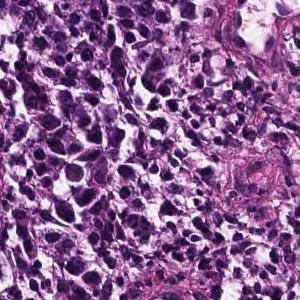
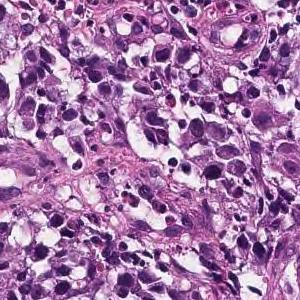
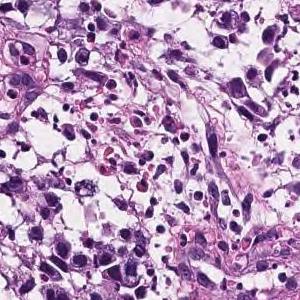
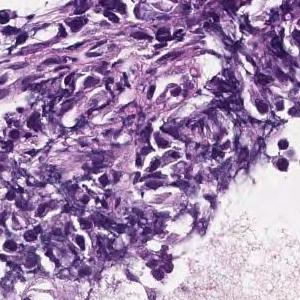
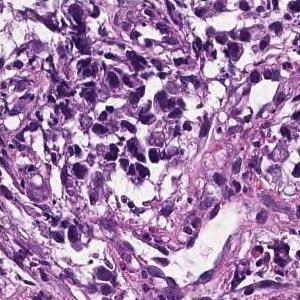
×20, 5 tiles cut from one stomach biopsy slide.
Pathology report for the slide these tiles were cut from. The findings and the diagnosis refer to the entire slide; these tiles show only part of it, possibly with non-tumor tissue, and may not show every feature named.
The superficial epithelium shows a small alveolar shape, and some tumor tissues infiltrate with a cord-like structure. Poorly differentiated adenocarcinoma, solid-type
Classified as poorly differentiated adenocarcinoma, solid type. This name comes from the Japanese Classification of Gastric Carcinoma; the WHO 2019 classification calls it tubular adenocarcinoma, poorly differentiated.
